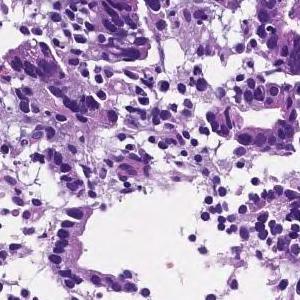
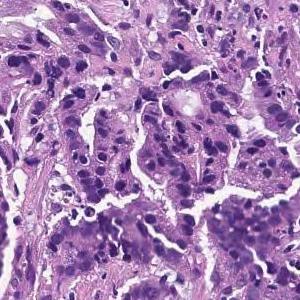
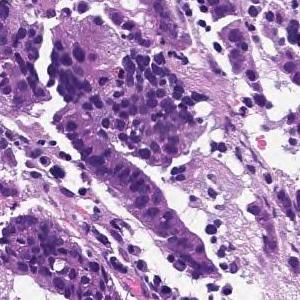
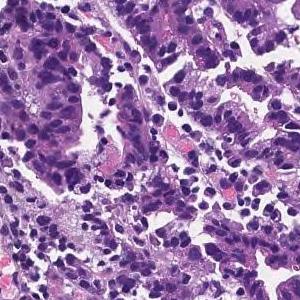
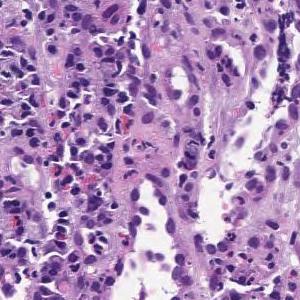
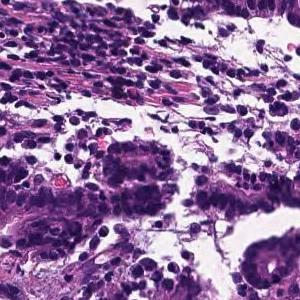
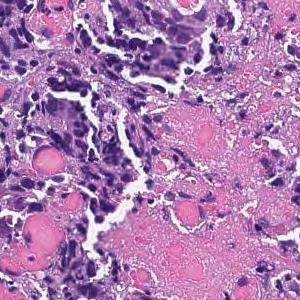
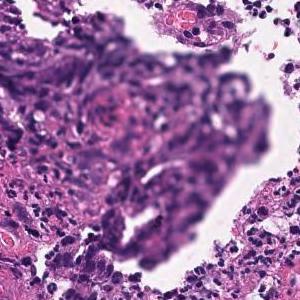
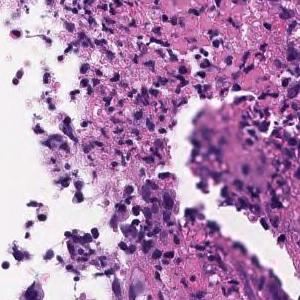
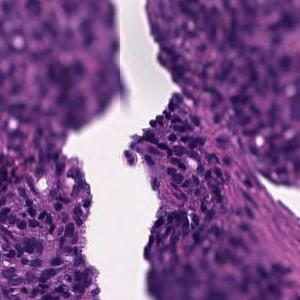
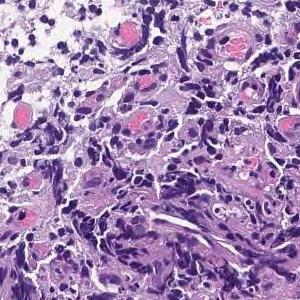
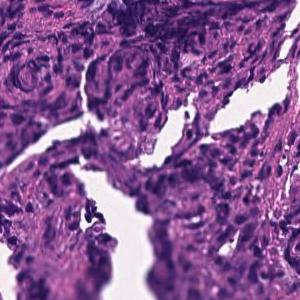
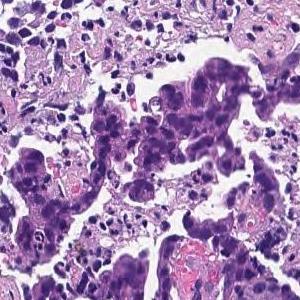
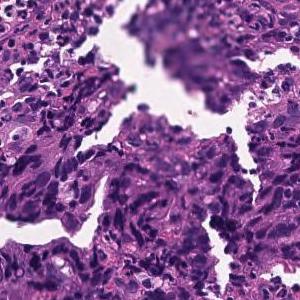
H&E stain · 14 tiles cut from one stomach biopsy slide · each 300 × 300 pixels.
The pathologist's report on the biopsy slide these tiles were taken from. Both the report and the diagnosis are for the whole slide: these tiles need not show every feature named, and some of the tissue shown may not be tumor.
On the superficial epithelium, tumor tissue consisting of large irregular glandular ducts partially fused and infiltrated is observed. Well to moderately differentiated tubular adenocarcinoma (well differentiated tubular adenocarcinoma, moderately differentiated tubular adenocarcinoma)
Subtype: Well to moderately differentiated tubular adenocarcinoma.
